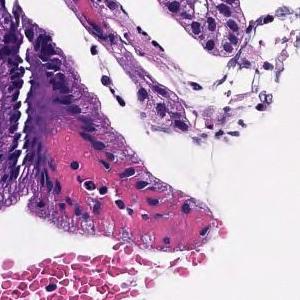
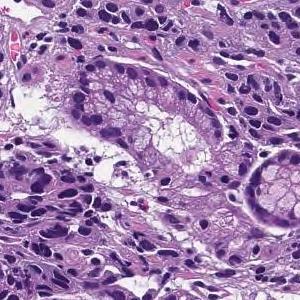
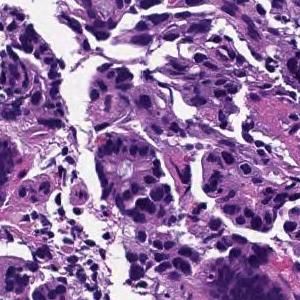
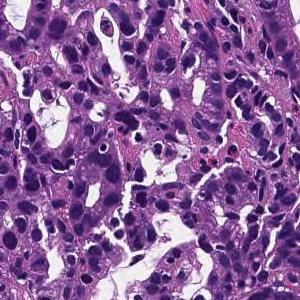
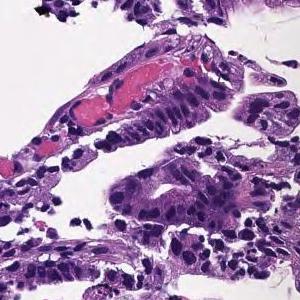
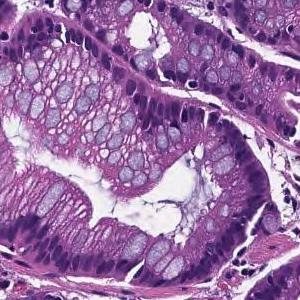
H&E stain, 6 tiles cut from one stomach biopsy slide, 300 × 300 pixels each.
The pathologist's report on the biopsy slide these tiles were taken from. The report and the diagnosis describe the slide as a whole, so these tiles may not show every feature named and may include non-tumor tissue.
Tumor cells are large, highly columnar, large club-shaped nuclei, and are associated with chromatin aggregation. Papillary adenocarcinoma.
